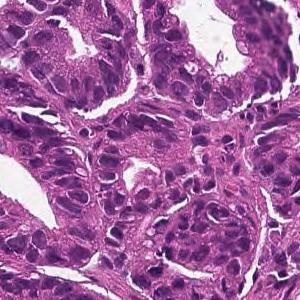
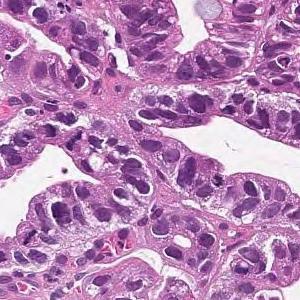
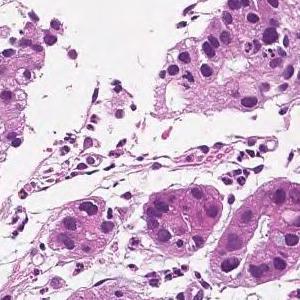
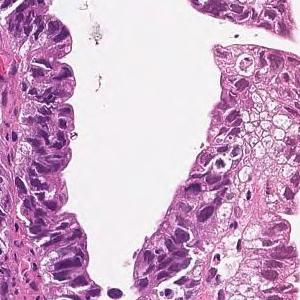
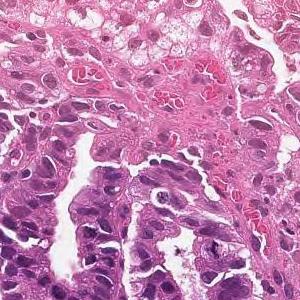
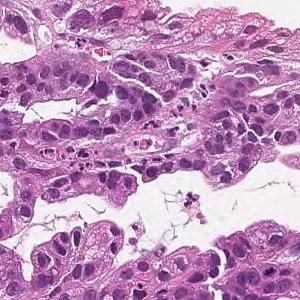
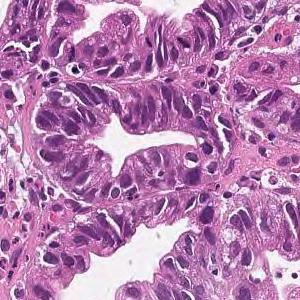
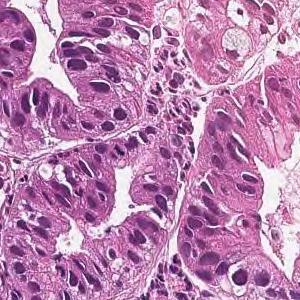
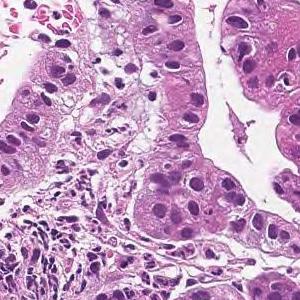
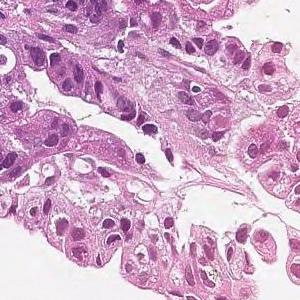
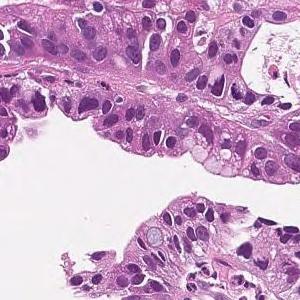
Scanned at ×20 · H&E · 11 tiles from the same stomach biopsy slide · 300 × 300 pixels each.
The pathologist's report on the biopsy slide these tiles were taken from. The report describes the whole slide, diagnosis included: not every finding it names need appear in these tiles, which may also show non-tumor tissue.
On the superficial epithelium, tumor tissue that infiltrates by forming medium-sized papillary or small irregular ducts is observed. Papillary adenocarcinoma
